Hematoxylin and eosin stain · 20× magnification · 11 tiles from the same stomach biopsy slide · each 300 × 300 pixels.
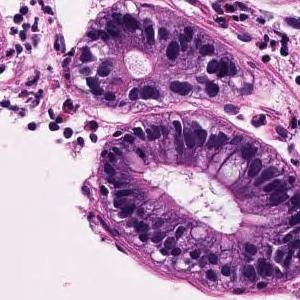
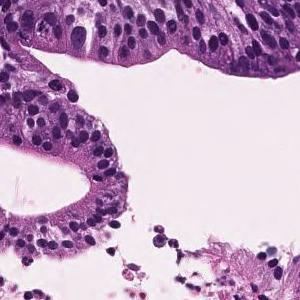
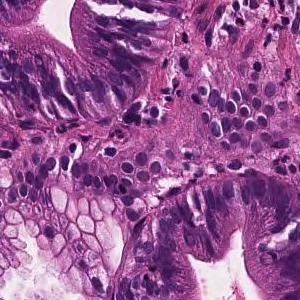
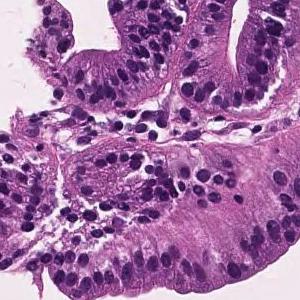
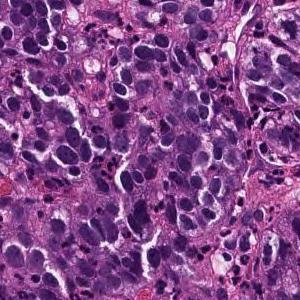
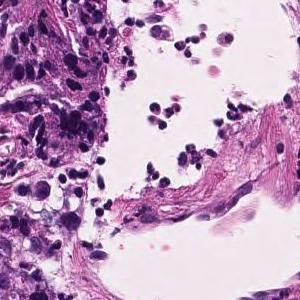
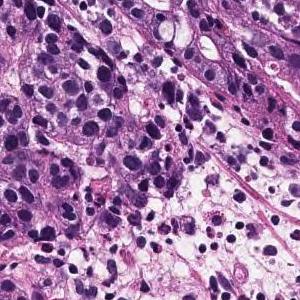
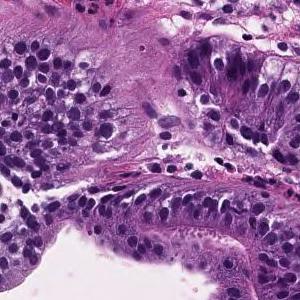
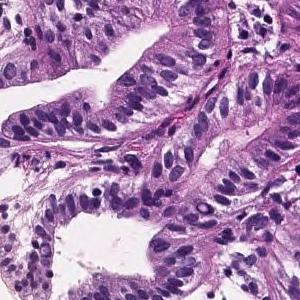
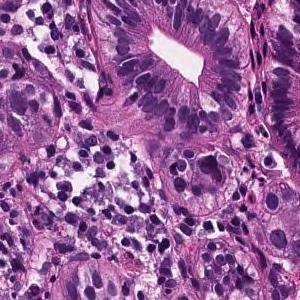
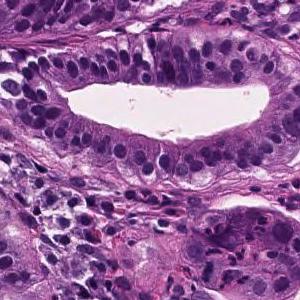
Diagnostic report for the slide these tiles come from. The report and the diagnosis cover the entire slide, so not every feature they name need be visible here, and some tissue shown may not be tumor.
In the superficial epithelium, tumor tissue that invades by forming medium-sized to small, irregular ducts is observed. moderately differentiated tubular adenocarcinoma.
